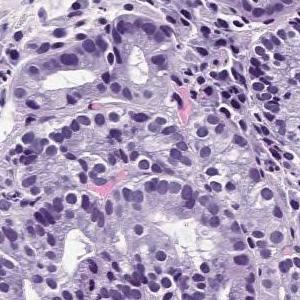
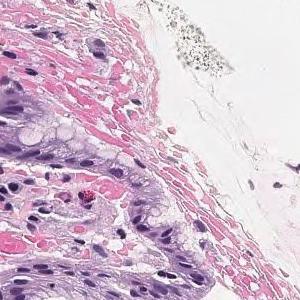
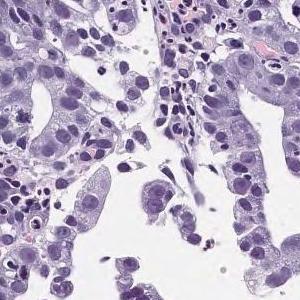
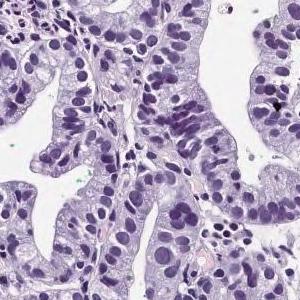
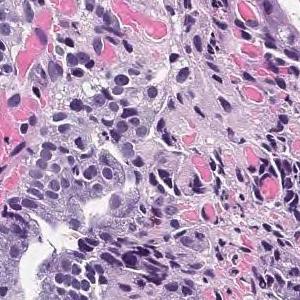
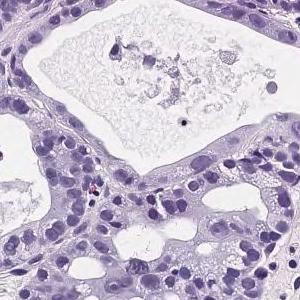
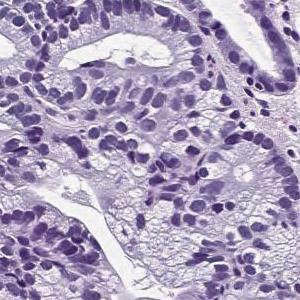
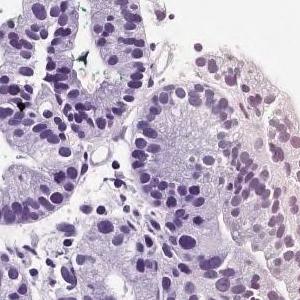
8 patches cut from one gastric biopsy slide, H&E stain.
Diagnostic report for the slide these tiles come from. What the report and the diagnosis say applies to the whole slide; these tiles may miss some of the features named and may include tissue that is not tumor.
From the superficial epithelium to the muscularis mucosae, tumor tissue consisting of medium-sized and irregular glandular ducts infiltrating is observed. Well differentiated tubular adenocarcinoma
